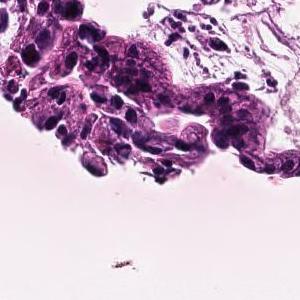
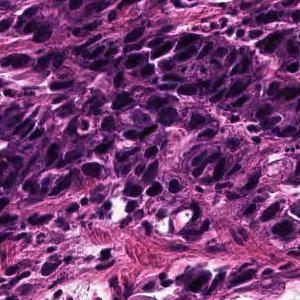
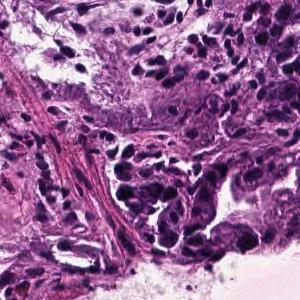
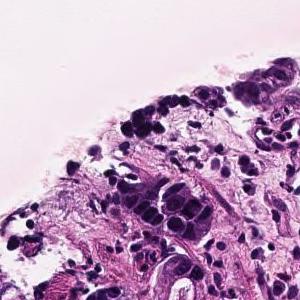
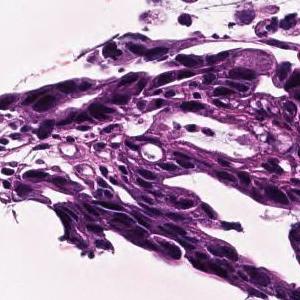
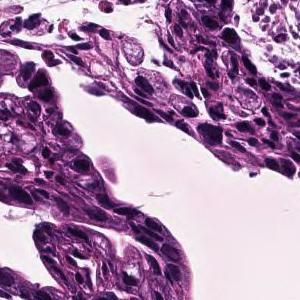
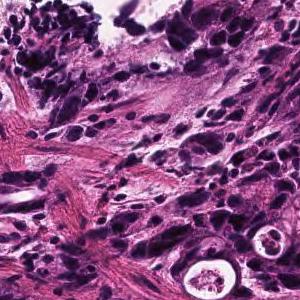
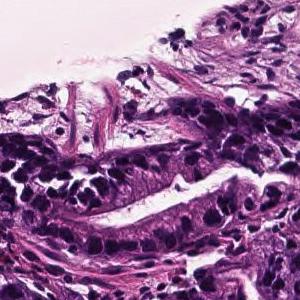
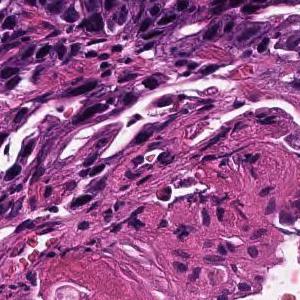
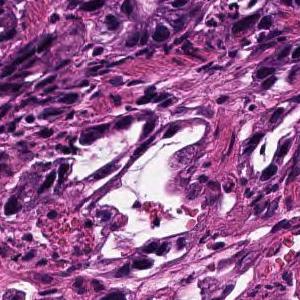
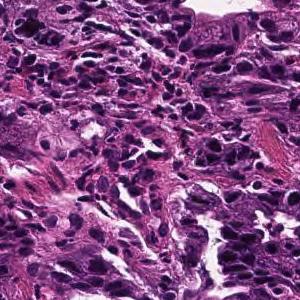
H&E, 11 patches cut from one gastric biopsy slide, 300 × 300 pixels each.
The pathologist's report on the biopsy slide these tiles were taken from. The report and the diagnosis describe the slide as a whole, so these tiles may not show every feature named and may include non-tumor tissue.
In the superficial epithelium, tumor tissue that invades by forming medium-sized to small, irregular ducts is observed. moderately differentiated tubular adenocarcinoma.
